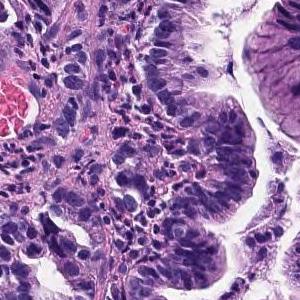
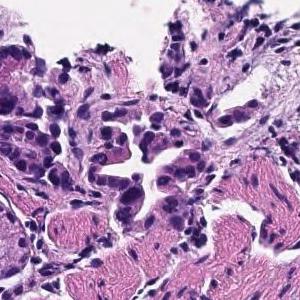
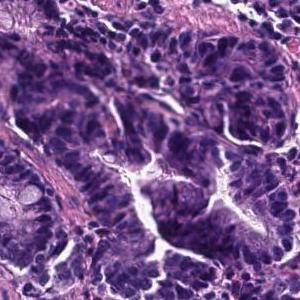
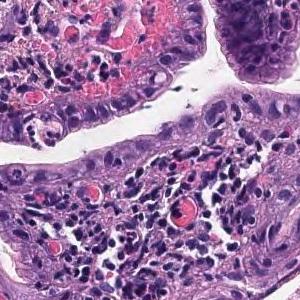
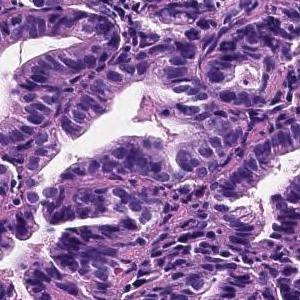
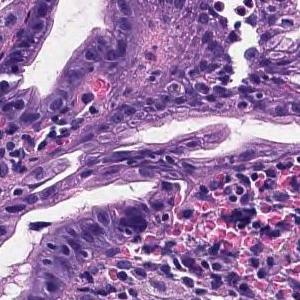
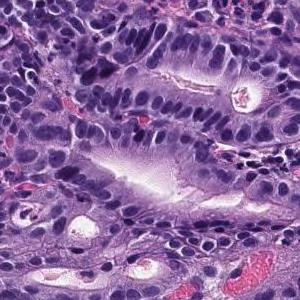
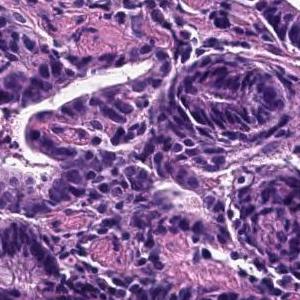
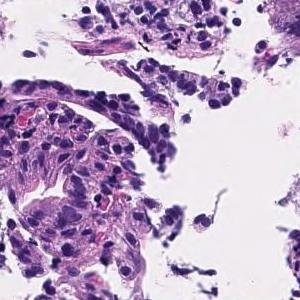
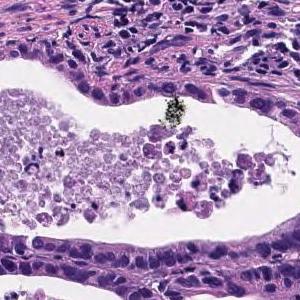
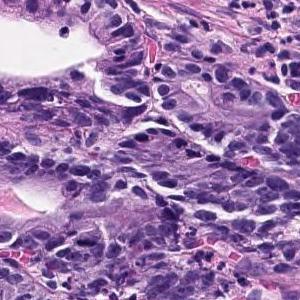
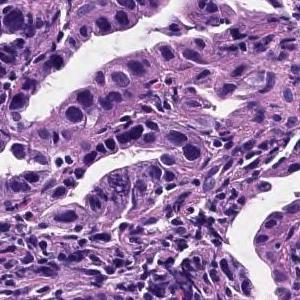
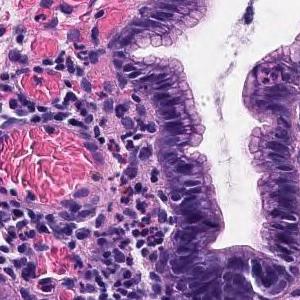
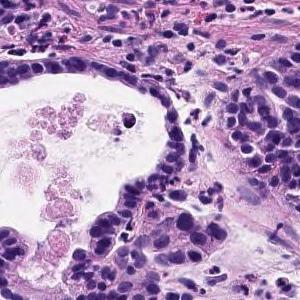
Hematoxylin and eosin stain, ×20, 14 image tiles from a single gastric biopsy slide, 300 × 300 pixels each.
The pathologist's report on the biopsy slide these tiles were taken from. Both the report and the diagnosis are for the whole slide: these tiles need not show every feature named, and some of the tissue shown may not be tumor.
The superficial tumors shows large papillary structures or large and small ducts and infiltrates. Papillary adenocarcinoma.
